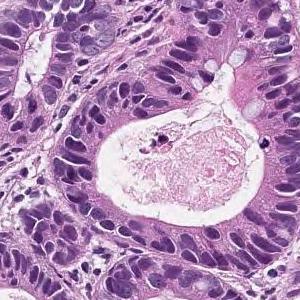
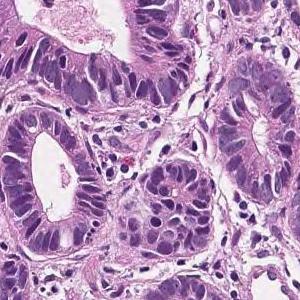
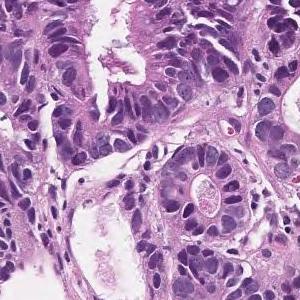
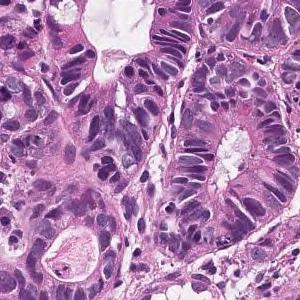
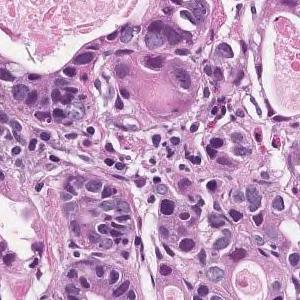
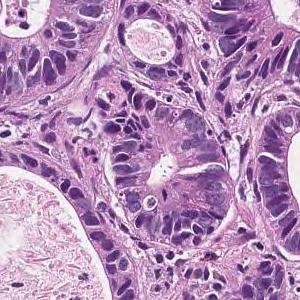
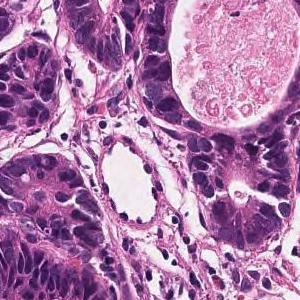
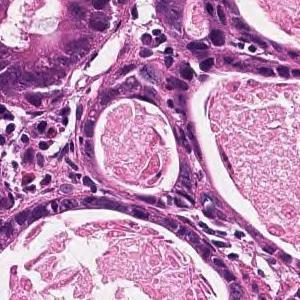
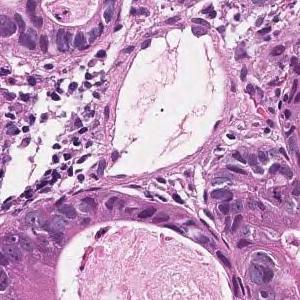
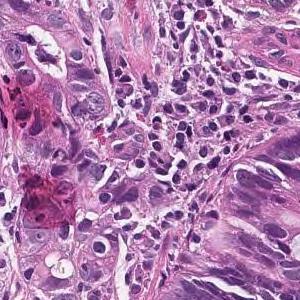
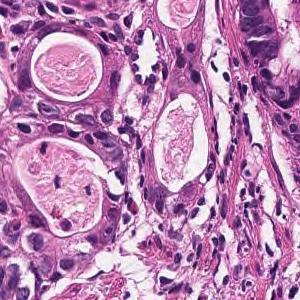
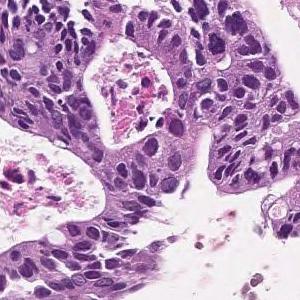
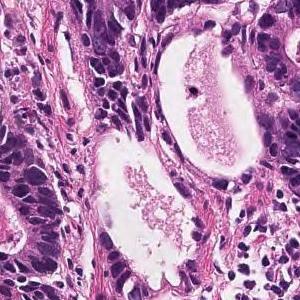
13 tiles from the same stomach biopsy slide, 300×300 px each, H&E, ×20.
Pathology report for the slide these tiles were cut from. The findings and the diagnosis refer to the entire slide; these tiles show only part of it, possibly with non-tumor tissue, and may not show every feature named.
In the superficial epithelium, tumor tissue that invades by forming medium-sized to small, irregular ducts is observed. Well differentiated tubular adenocarcinoma.
